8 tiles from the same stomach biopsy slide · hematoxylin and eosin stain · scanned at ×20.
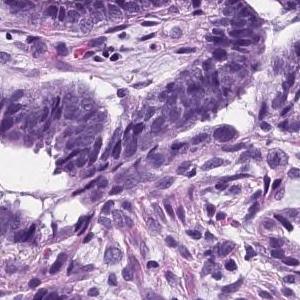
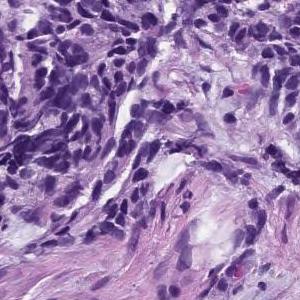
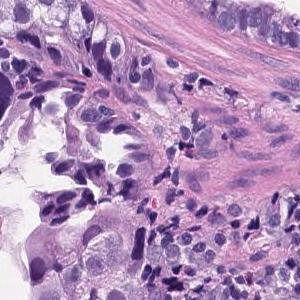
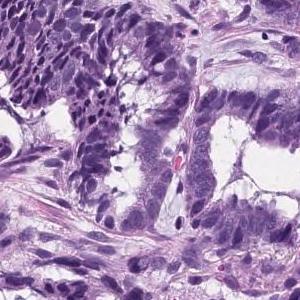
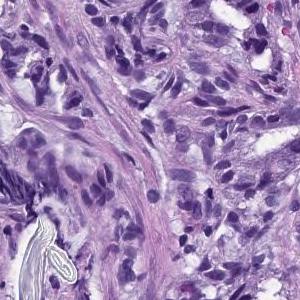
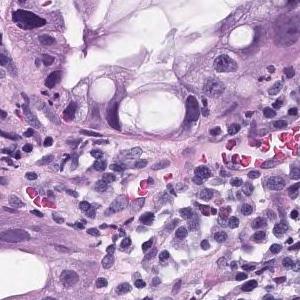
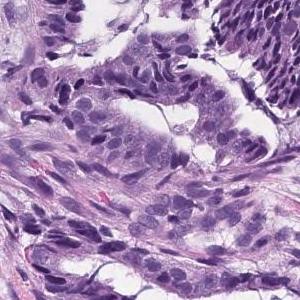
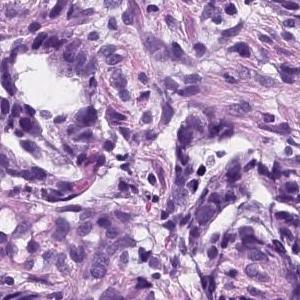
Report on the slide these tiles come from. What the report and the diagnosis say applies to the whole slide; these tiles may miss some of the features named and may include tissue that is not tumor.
In the superficial epithelium, tumor tissue that invades by forming medium-sized to small, irregular ducts is observed. Moderately differentiated adenocarcinoma.
Tumor subtype: moderately differentiated tubular adenocarcinoma.
